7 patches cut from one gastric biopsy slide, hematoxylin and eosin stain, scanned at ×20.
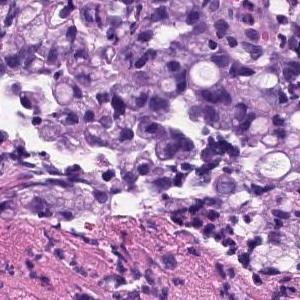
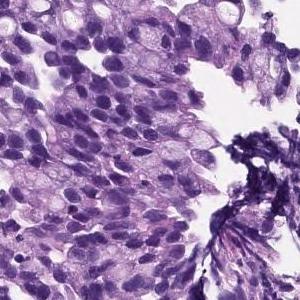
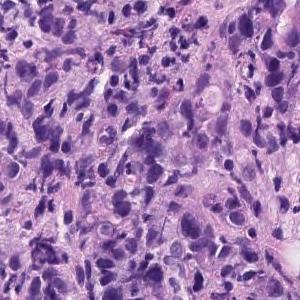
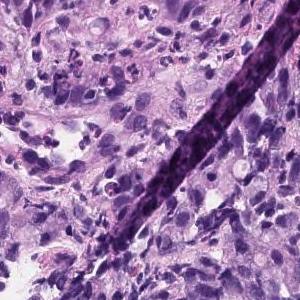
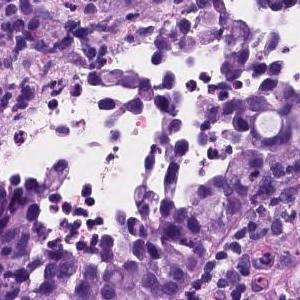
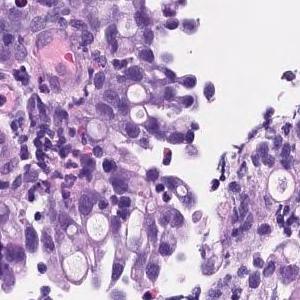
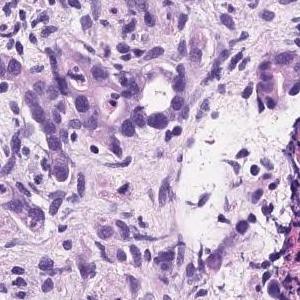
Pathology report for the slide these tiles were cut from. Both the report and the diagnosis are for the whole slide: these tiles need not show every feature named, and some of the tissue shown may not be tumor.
Diffusely growing signet-ring cells are found in the lamina propria. Signet ring cell carcinoma.
